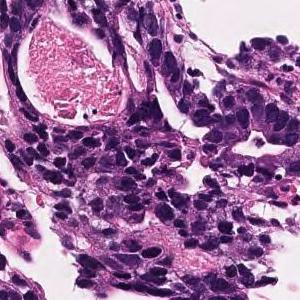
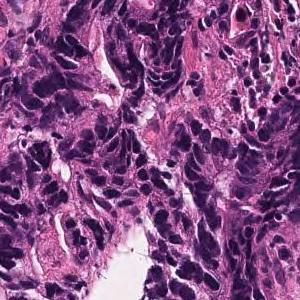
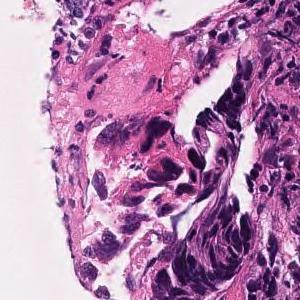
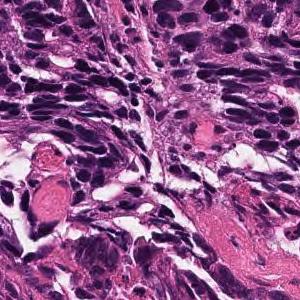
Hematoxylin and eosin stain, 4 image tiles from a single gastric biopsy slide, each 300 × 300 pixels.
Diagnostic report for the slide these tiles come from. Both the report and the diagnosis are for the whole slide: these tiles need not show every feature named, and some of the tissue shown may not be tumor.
Large and small irregular small glandular ducts forming and infiltrating. moderately differentiated tubular adenocarcinoma
